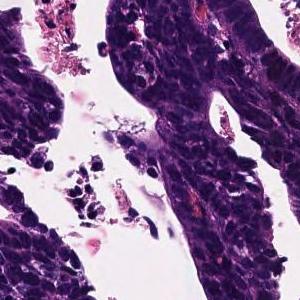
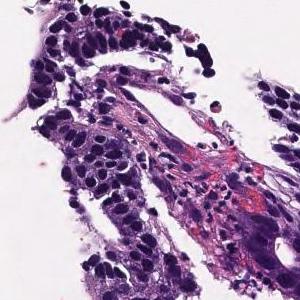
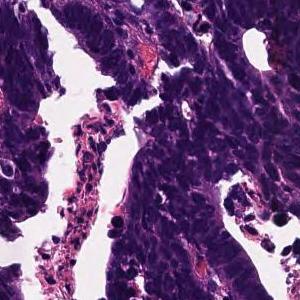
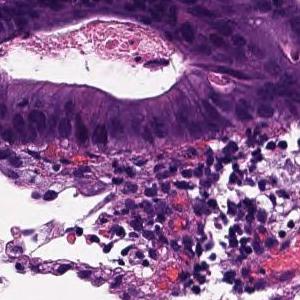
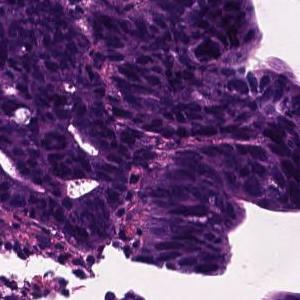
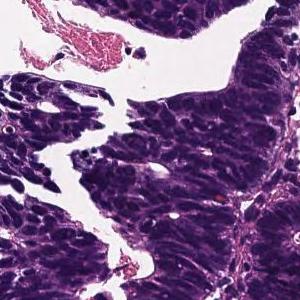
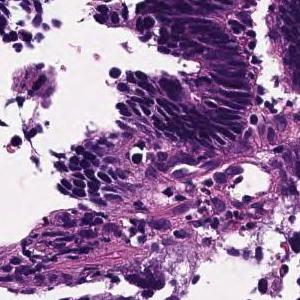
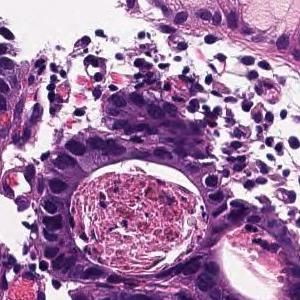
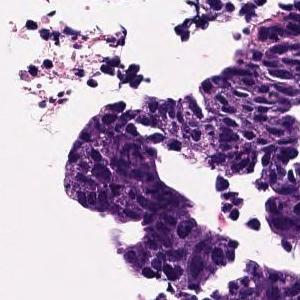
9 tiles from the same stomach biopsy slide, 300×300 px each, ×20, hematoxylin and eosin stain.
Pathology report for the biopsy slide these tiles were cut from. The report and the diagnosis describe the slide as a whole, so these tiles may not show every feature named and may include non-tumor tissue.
In the superficial epithelium, tumor tissue that invades by forming medium-sized to small, irregular ducts is observed. moderately differentiated tubular adenocarcinoma.
